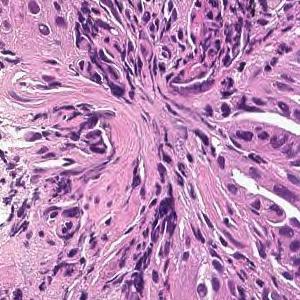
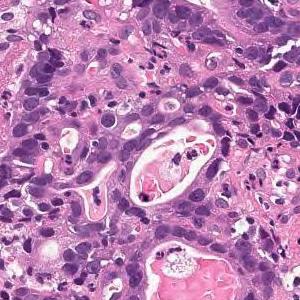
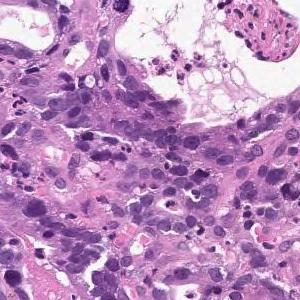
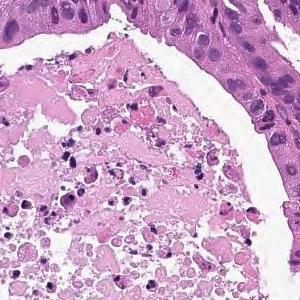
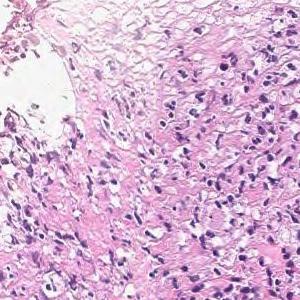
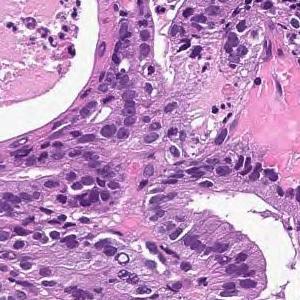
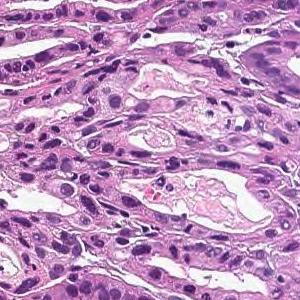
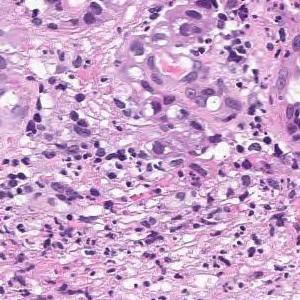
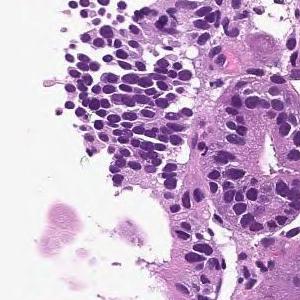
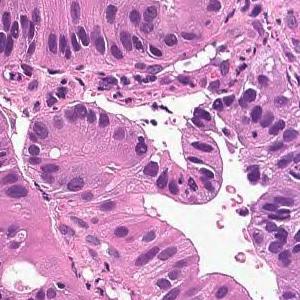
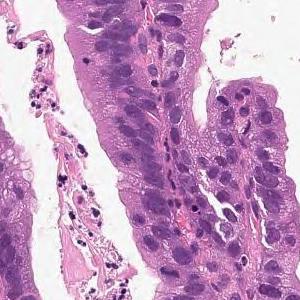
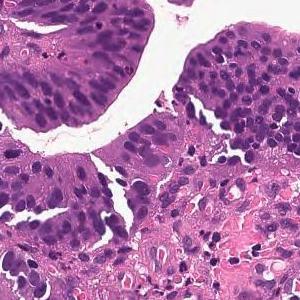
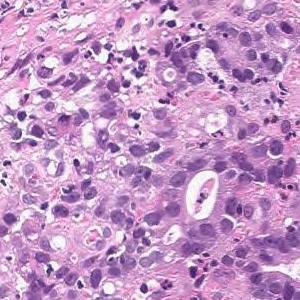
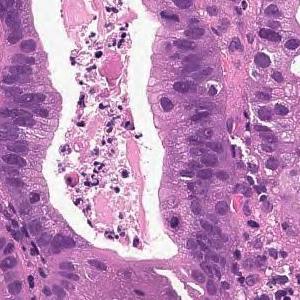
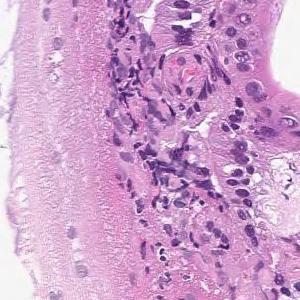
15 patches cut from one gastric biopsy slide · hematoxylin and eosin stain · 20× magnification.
Pathology report for the biopsy slide these tiles were cut from. The report and the diagnosis cover the entire slide, so not every feature they name need be visible here, and some tissue shown may not be tumor.
From the superficial epithelium to the muscularis mucosae, tumor tissue consisting of medium-sized and irregular glandular ducts infiltrating is observed. Well differentiated tubular adenocarcinoma
